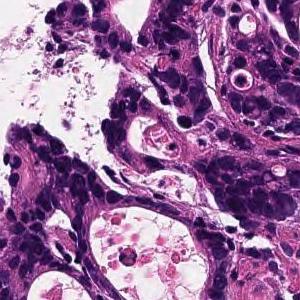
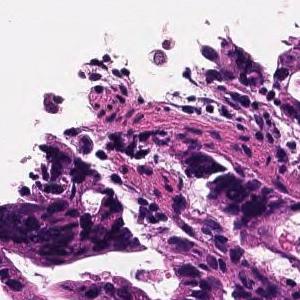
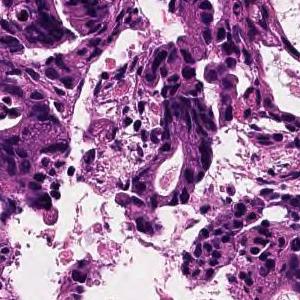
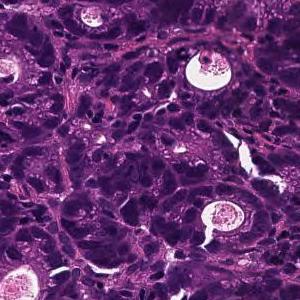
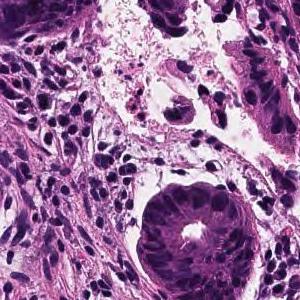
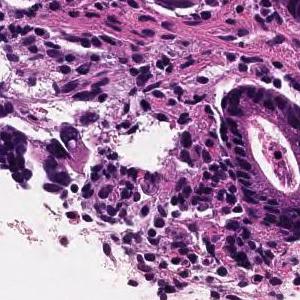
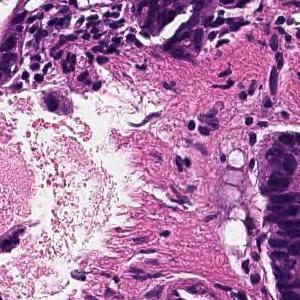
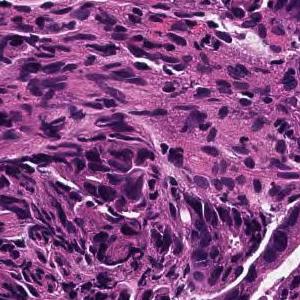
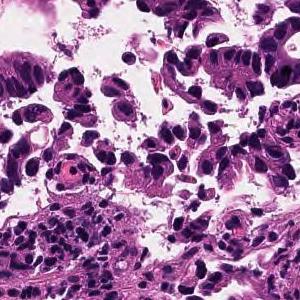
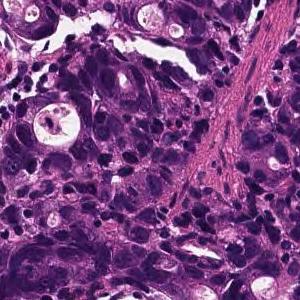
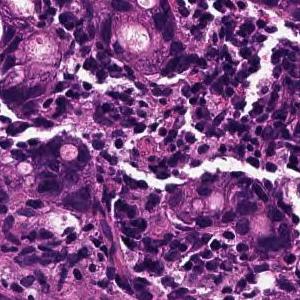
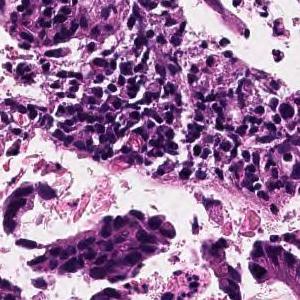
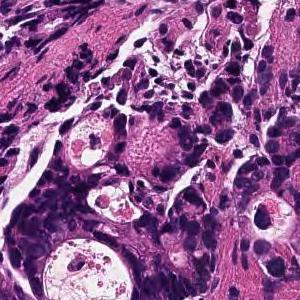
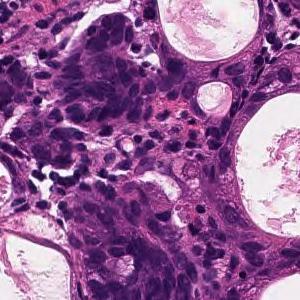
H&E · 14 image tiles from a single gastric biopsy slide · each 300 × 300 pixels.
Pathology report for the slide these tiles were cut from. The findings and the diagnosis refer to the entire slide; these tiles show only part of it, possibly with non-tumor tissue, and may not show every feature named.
In the superficial epithelium, tumor tissue that invades by forming medium-sized to small, irregular ducts is observed. moderately differentiated tubular adenocarcinoma.
